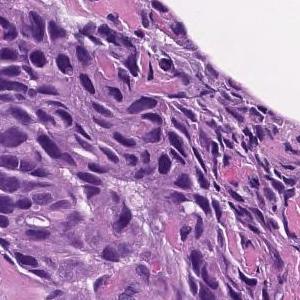
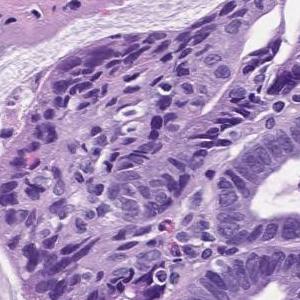
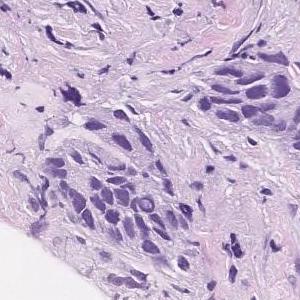
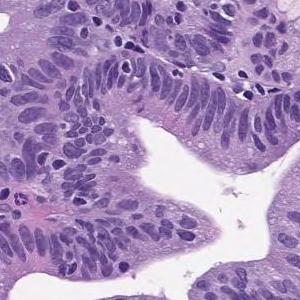
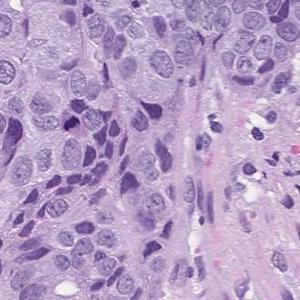
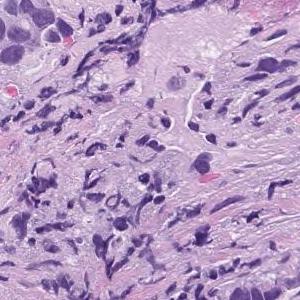
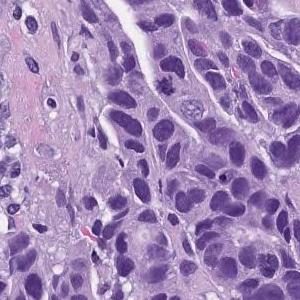
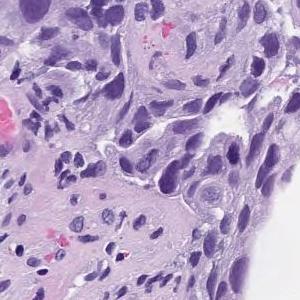
H&E stain · 8 image tiles from a single gastric biopsy slide · each 300 × 300 pixels.
Report on the slide these tiles come from. The report describes the whole slide, diagnosis included: not every finding it names need appear in these tiles, which may also show non-tumor tissue.
In the superficial epithelium, tumor tissue that invades by forming medium-sized to small, irregular ducts is observed. moderately differentiated tubular adenocarcinoma.
